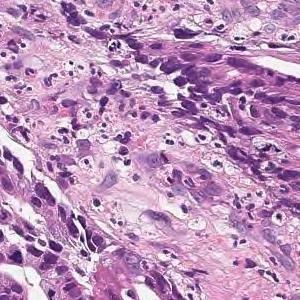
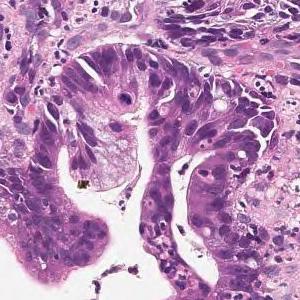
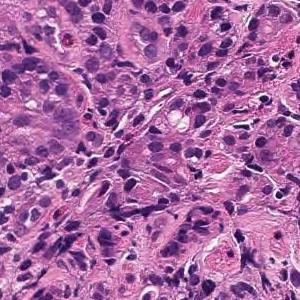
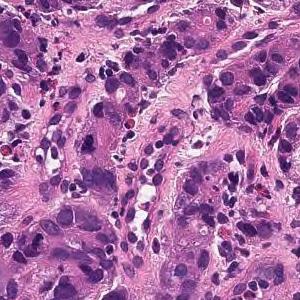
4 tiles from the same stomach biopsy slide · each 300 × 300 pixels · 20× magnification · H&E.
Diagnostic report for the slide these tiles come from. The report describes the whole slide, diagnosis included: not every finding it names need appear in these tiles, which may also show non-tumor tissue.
In the superficial epithelium, medium to small irregular gland ducts are formed, and in some cases, the ducts are fused to show solid alveolar lesions and infiltrating tumor tissue is observed. moderately differentiated tubular adenocarcinoma or poorly differentiated adenocarcinoma, solid-type (poorly differentiated adenocarcinoma, solid type)
The dataset labels this slide poorly differentiated adenocarcinoma, solid type. This name comes from the Japanese Classification of Gastric Carcinoma; the WHO 2019 classification calls it tubular adenocarcinoma, poorly differentiated.
